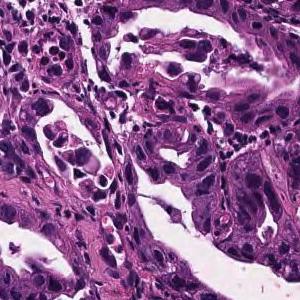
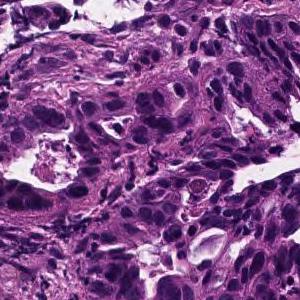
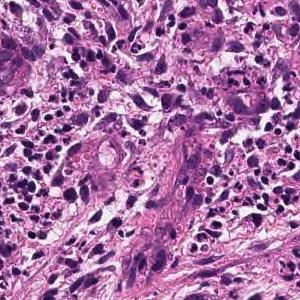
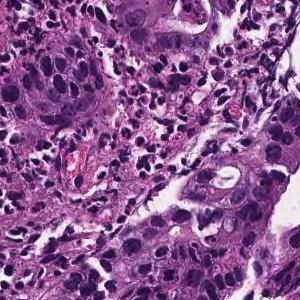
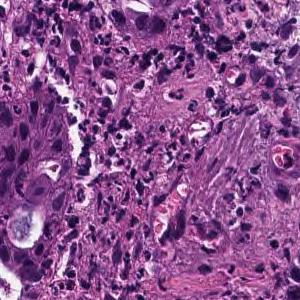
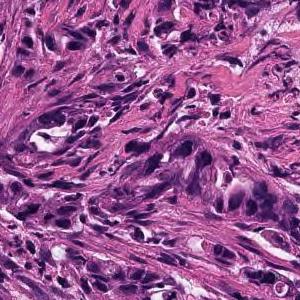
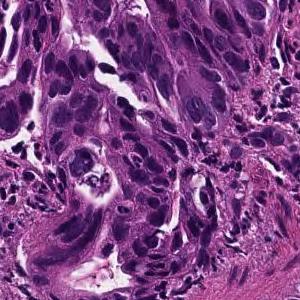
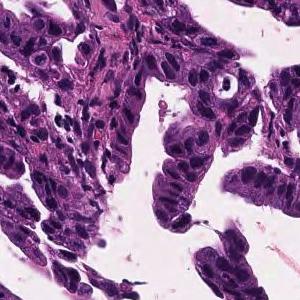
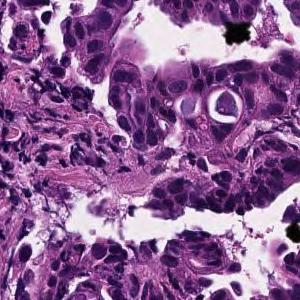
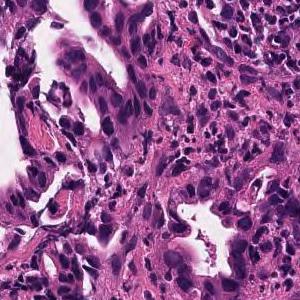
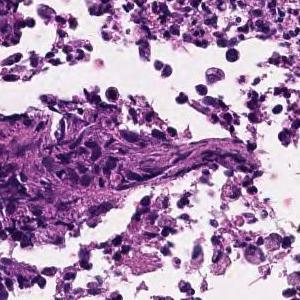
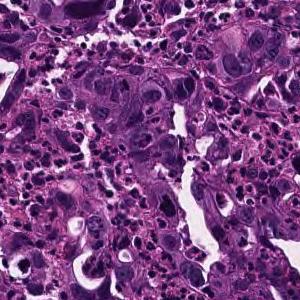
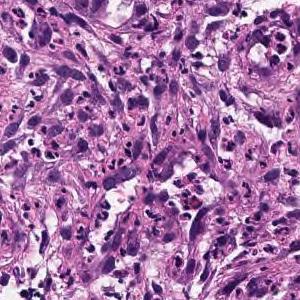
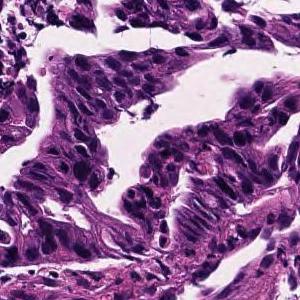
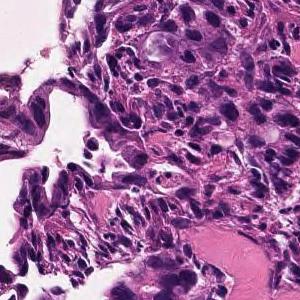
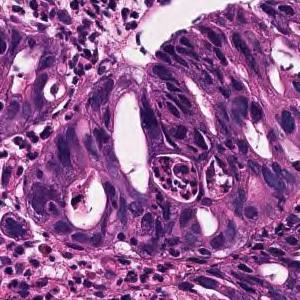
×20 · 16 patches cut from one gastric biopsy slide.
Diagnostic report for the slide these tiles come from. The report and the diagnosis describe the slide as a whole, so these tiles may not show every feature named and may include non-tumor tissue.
In the superficial epithelium, medium-sized to small irregular glandular ducts are formed, and in some cases, the glandular ducts are fused or small cord-like infiltrating tumor tissue is observed. moderately differentiated tubular adenocarcinoma
